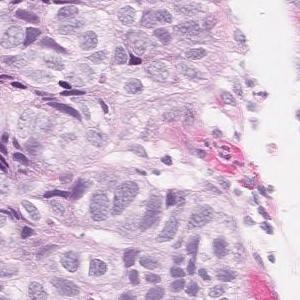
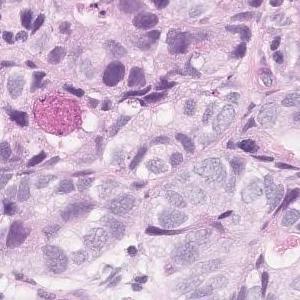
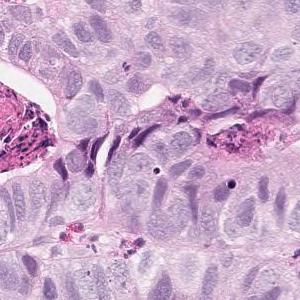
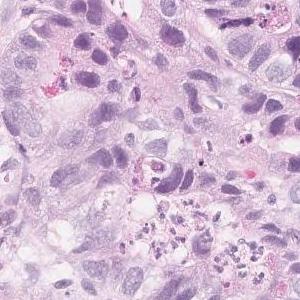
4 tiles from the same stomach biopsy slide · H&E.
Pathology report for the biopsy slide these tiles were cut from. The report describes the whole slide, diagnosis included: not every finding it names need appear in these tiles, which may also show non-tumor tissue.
In the superficial epithelium, tumor tissue that invades by forming medium-sized to small, irregular ducts is observed. Moderately differentiated adenocarcinoma.
Classified as moderately differentiated tubular adenocarcinoma.
